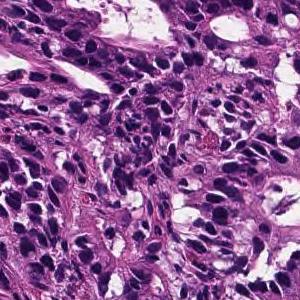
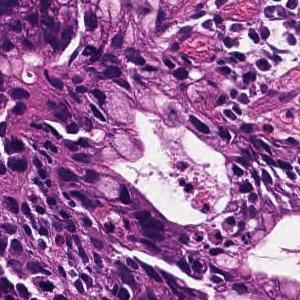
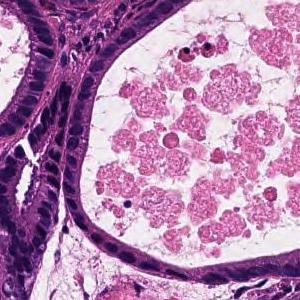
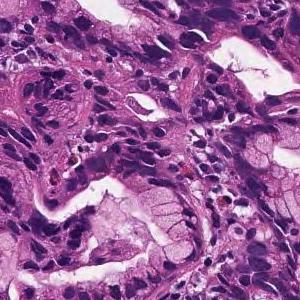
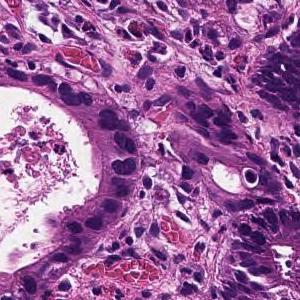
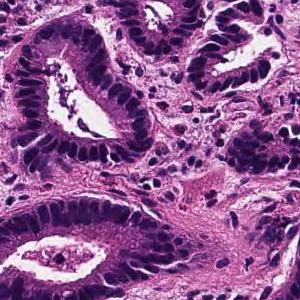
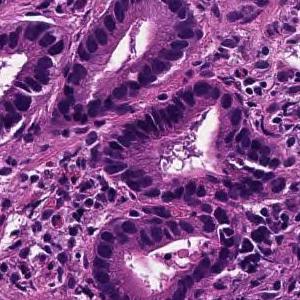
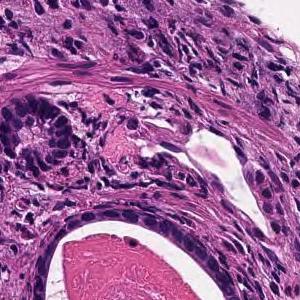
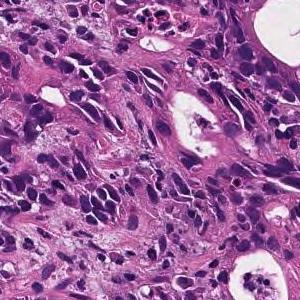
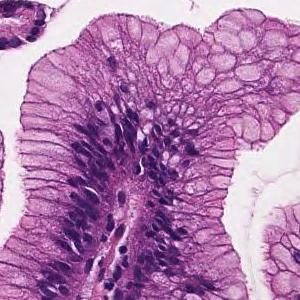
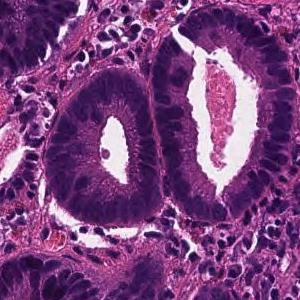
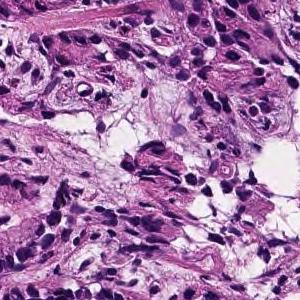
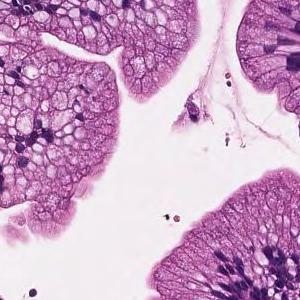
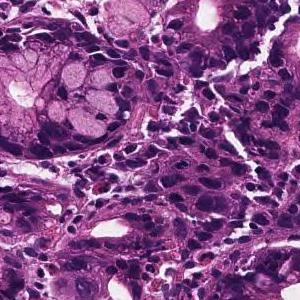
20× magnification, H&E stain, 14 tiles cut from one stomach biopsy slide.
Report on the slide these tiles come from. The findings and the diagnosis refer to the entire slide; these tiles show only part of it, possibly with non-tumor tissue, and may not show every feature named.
On the superficial epithelium, tumor tissue consisting of medium-sized and irregular glandular ducts partially fused and infiltrated is observed. Well to moderately differentiated tubular adenocarcinoma (well differentiated tubular adenocarcinoma-moderately differentiated tubular adenocarcinoma)
Histological subtype: Well to moderately differentiated tubular adenocarcinoma.
